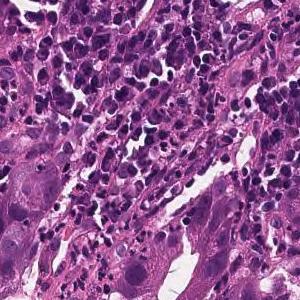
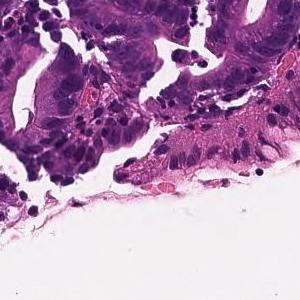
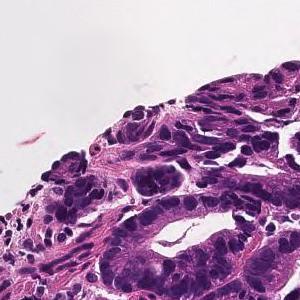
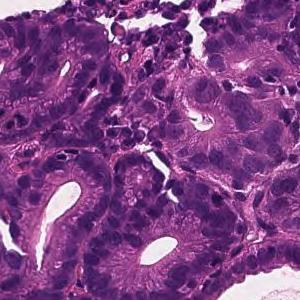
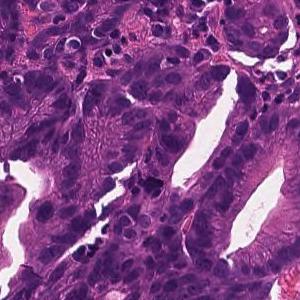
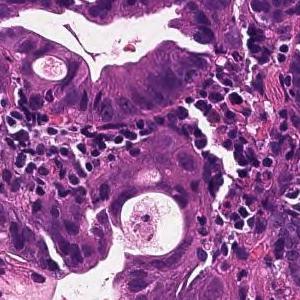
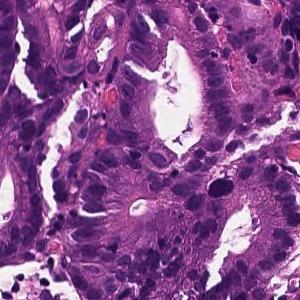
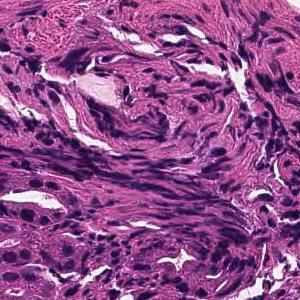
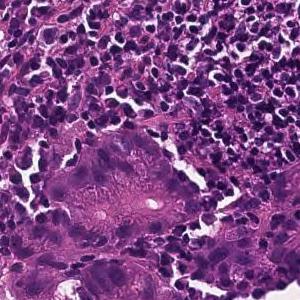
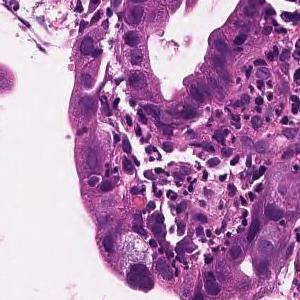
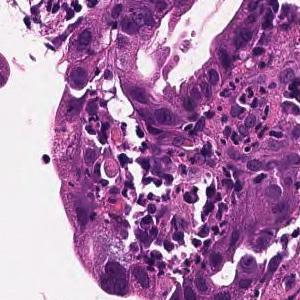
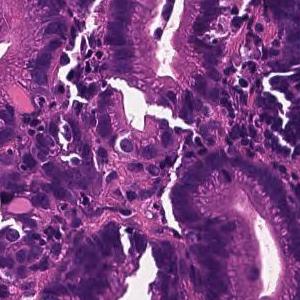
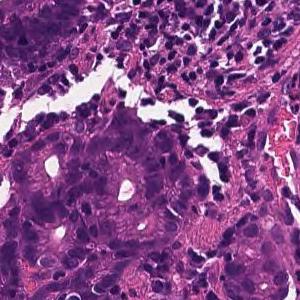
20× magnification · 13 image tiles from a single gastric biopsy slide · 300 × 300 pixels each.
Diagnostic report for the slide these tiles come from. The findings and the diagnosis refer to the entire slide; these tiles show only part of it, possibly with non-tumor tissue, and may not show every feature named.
From the superficial epithelium to the muscularis mucosae, tumor tissue that invades by forming medium-sized irregular gland ducts is observed. Well differentiated tubular adenocarcinoma
